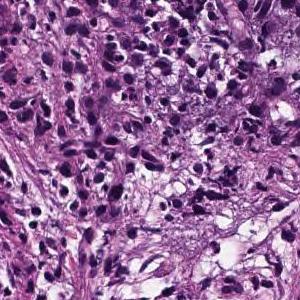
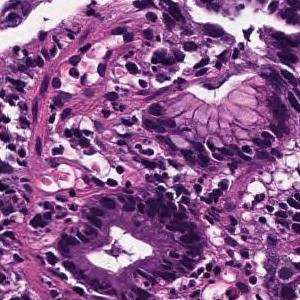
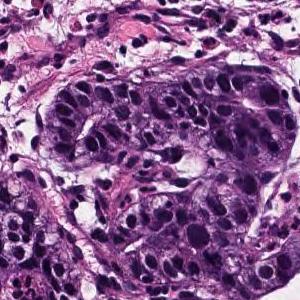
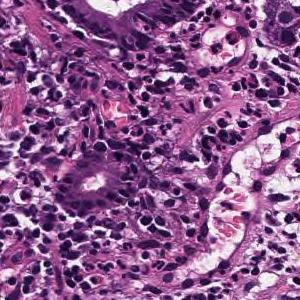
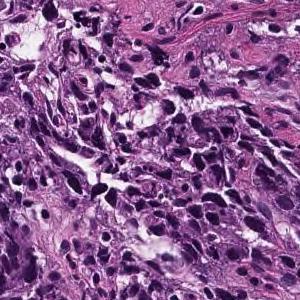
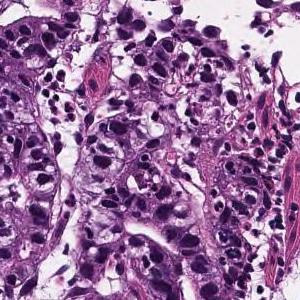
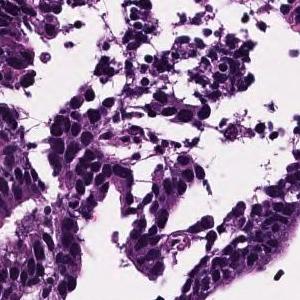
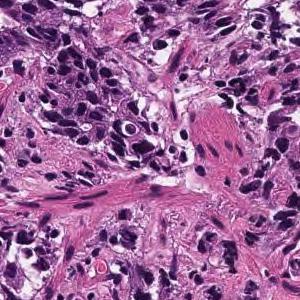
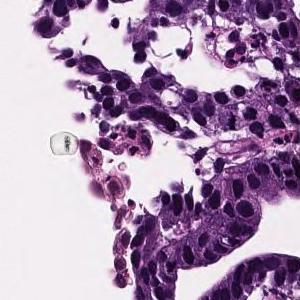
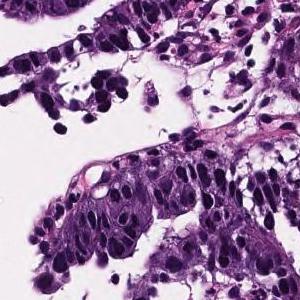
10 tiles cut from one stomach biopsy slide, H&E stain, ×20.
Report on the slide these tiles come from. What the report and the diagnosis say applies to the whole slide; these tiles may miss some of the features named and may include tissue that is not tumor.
Atypical l cells with atypical nuclei forming diffuse or small irregular atypical ducts and growing. Moderately to poorly differentiated adenocarcinoma (poorly differentiated adenocarcinoma, solid type moderately differentiated tubular adenocarcinoma)
Histological subtype: Moderately to poorly differentiated adenocarcinoma.
The solid type named here is a Japanese Classification of Gastric Carcinoma category; WHO 2019 calls it tubular adenocarcinoma, poorly differentiated.
